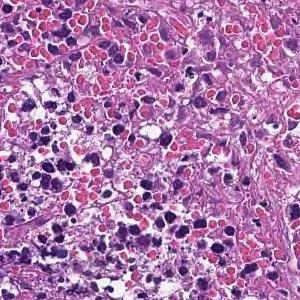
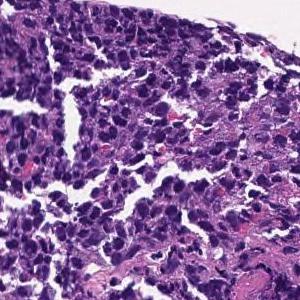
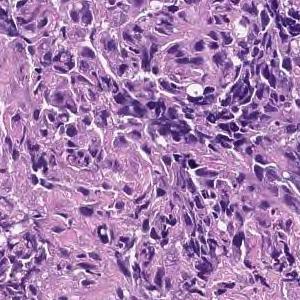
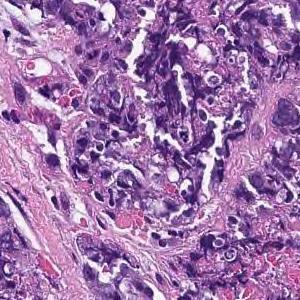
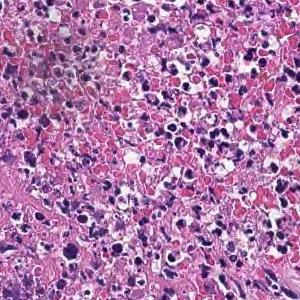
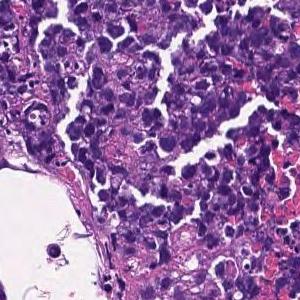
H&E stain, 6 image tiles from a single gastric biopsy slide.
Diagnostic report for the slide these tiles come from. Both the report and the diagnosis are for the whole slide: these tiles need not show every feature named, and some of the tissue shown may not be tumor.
Most are composed of coagulative necrotic tissue, but some show a large sheet-like shape, and some show tumor tissue infiltrating with a small cord-like structure. Poorly differentiated adenocarcinoma, solid-type
Classified as poorly differentiated adenocarcinoma, solid type. This name comes from the Japanese Classification of Gastric Carcinoma; the WHO 2019 classification calls it tubular adenocarcinoma, poorly differentiated.
